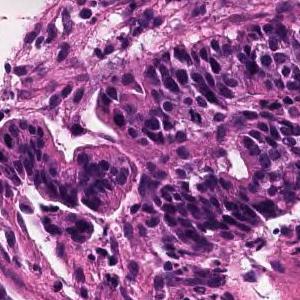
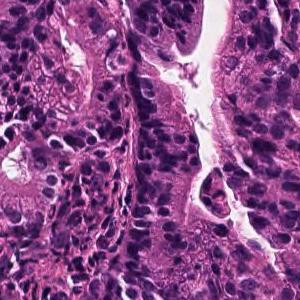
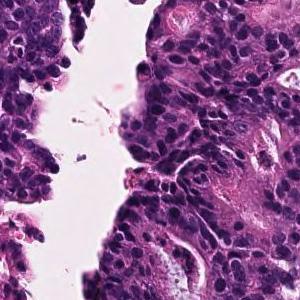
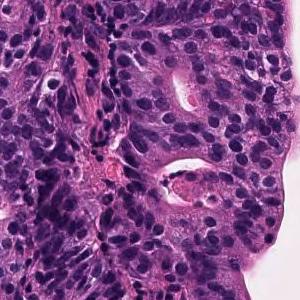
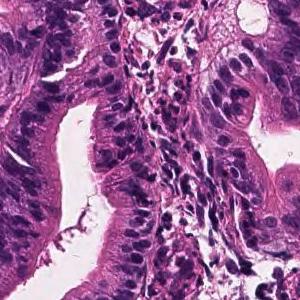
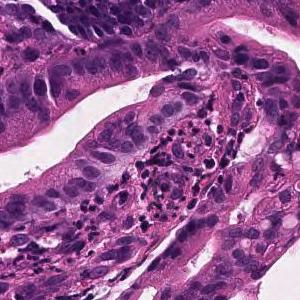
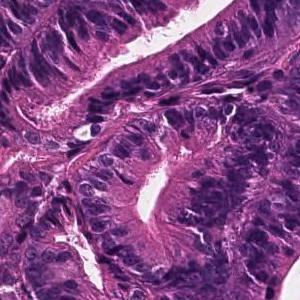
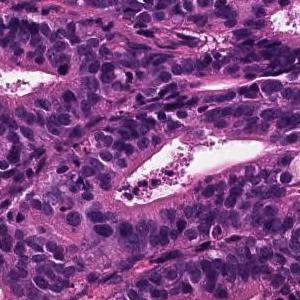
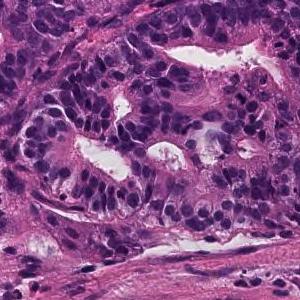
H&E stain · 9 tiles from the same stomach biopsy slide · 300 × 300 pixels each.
The pathologist's report on the biopsy slide these tiles were taken from. What the report and the diagnosis say applies to the whole slide; these tiles may miss some of the features named and may include tissue that is not tumor.
In the superficial epithelium, tumor tissue that invades by forming medium-sized to small, irregular ducts is observed. Moderately differentiated adenocarcinoma.
Subtype: Moderately differentiated tubular adenocarcinoma.
